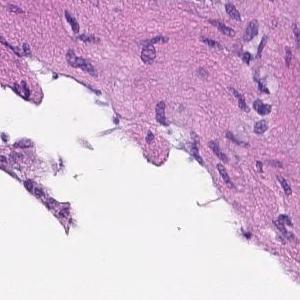
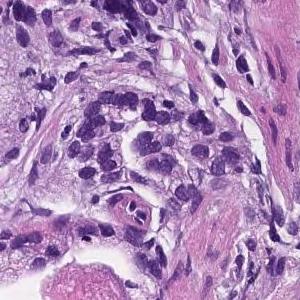
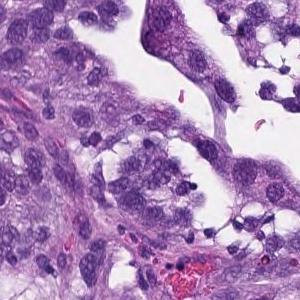
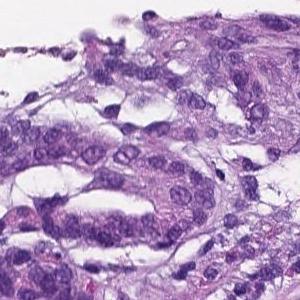
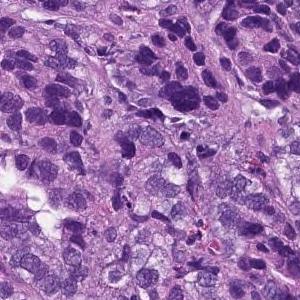
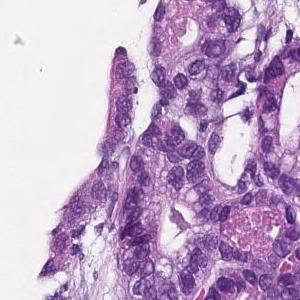
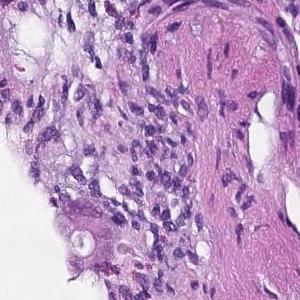
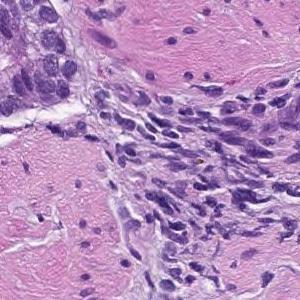
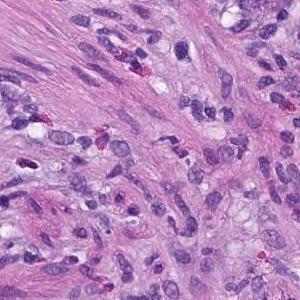
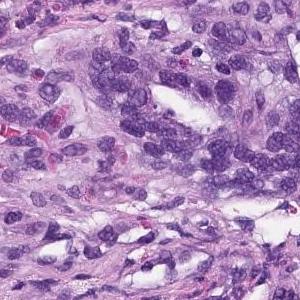
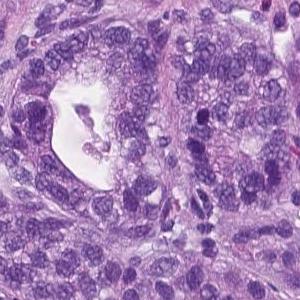
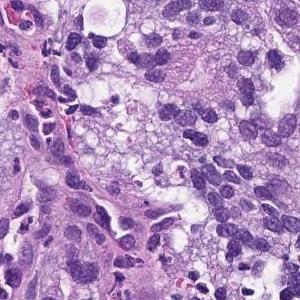
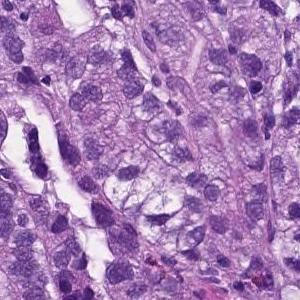
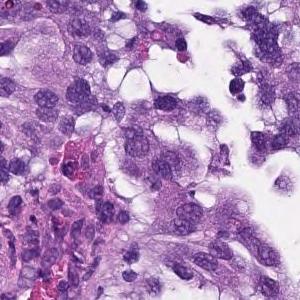
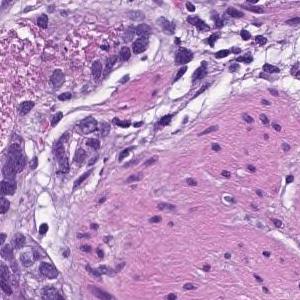
Scanned at ×20; 15 tiles from the same stomach biopsy slide.
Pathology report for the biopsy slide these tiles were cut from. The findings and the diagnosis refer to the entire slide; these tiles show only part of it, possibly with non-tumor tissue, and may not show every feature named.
From the superficial epithelium to the muscularis mucosae, tumor tissue consisting of medium-sized and irregular glandular ducts infiltrating is observed. Well differentiated tubular adenocarcinoma
